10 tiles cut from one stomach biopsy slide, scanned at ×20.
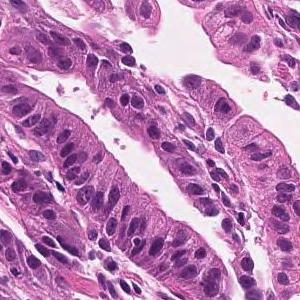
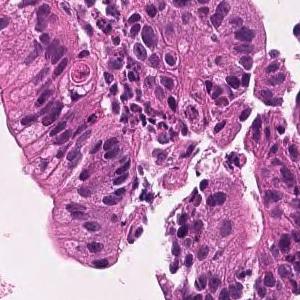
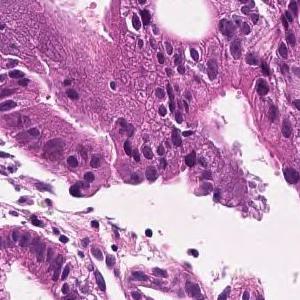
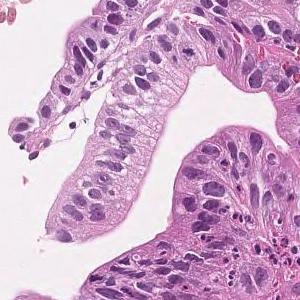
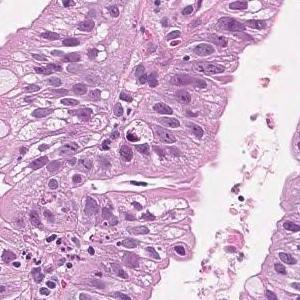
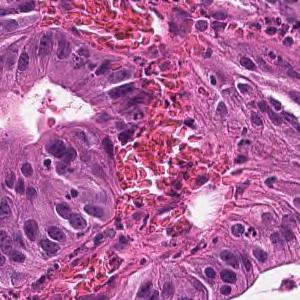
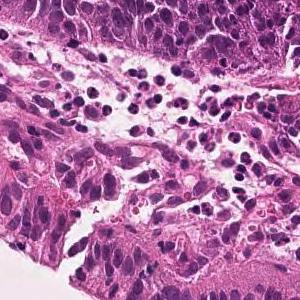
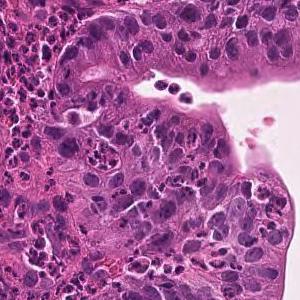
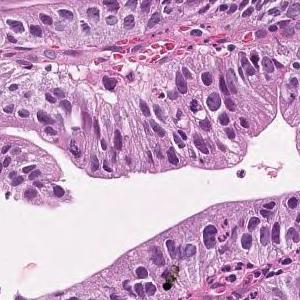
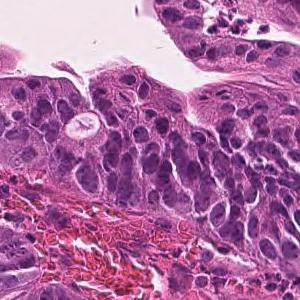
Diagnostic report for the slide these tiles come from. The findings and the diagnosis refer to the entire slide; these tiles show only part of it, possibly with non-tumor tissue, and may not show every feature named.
Tumor cells are large, highly columnar, large club-shaped nuclei, and are associated with chromatin aggregation. Papillary adenocarcinoma.
